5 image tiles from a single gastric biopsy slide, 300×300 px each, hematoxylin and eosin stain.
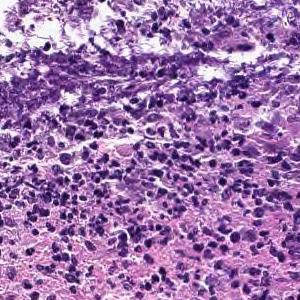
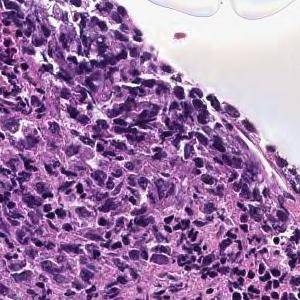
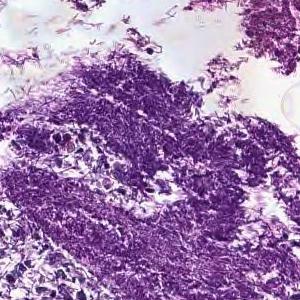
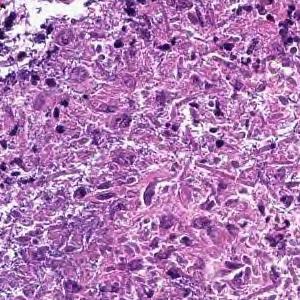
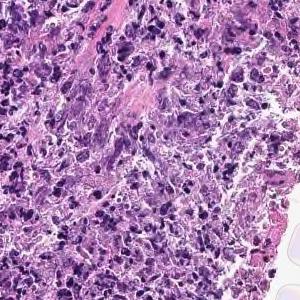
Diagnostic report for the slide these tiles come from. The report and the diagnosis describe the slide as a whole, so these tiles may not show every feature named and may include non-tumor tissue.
Cancers with polygonal nuclei do not show glandular formation and are densely, in part, cord-like and proliferate. Poorly differentiated adenocarcinoma
Tumor subtype: poorly differentiated adenocarcinoma, non-solid type.
The non-solid type named here is a Japanese Classification of Gastric Carcinoma category.
